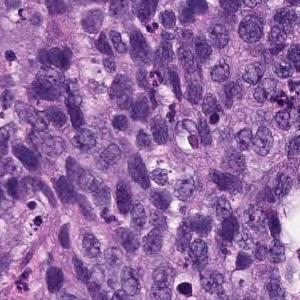
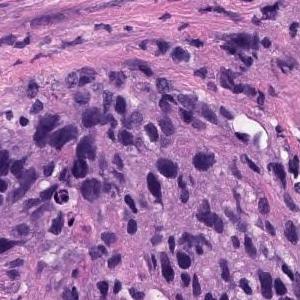
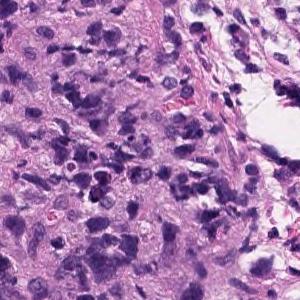
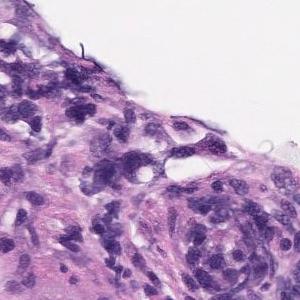
×20 · H&E stain · 4 patches cut from one gastric biopsy slide · 300 × 300 pixels each.
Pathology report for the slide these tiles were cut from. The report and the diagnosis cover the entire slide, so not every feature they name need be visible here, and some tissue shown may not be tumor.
Atypical l cells with atypical nuclei under the mucosa growing in isolation and scattered. Poorly differentiated adenocarcinoma (poorly differentiated adenocarcinoma, non-solid type)
Classified as poorly differentiated adenocarcinoma, non-solid type.
The term "non-solid type" comes from the Japanese Classification of Gastric Carcinoma.
